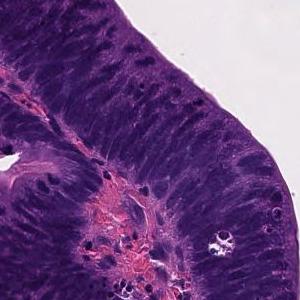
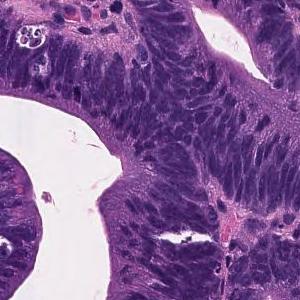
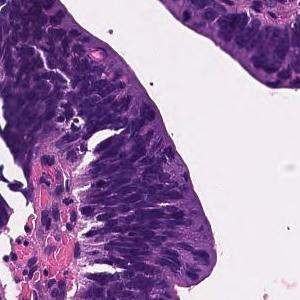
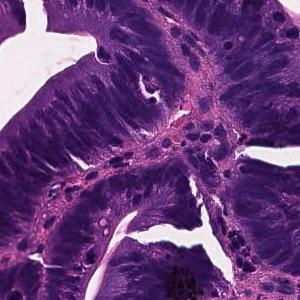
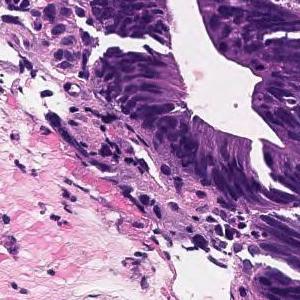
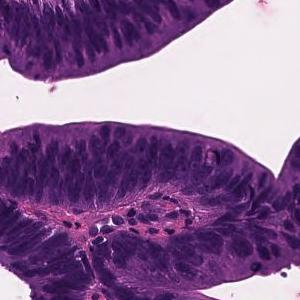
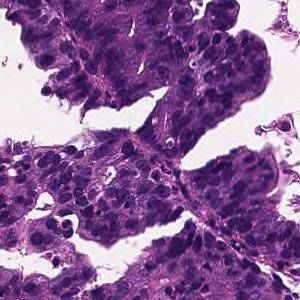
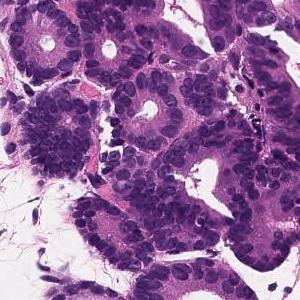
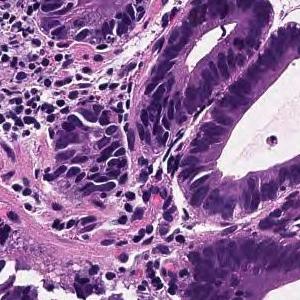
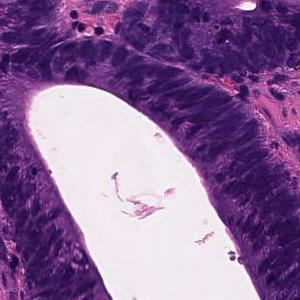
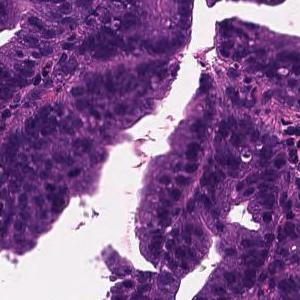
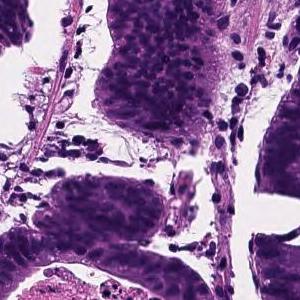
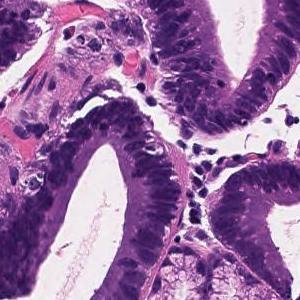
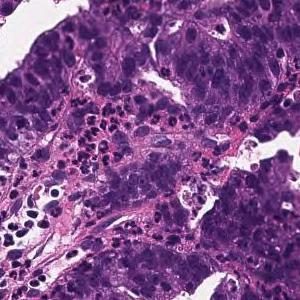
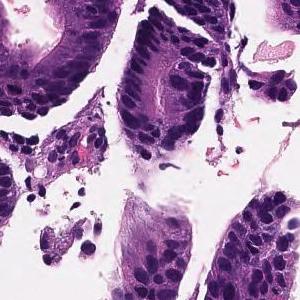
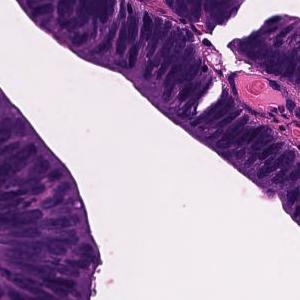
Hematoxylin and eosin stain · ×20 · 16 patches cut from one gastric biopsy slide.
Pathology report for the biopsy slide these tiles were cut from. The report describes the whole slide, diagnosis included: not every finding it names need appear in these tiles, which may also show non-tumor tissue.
Tumor tissue consisting of large papillary structures is found in the superficial epithelium. Papillary adenocarcinoma.
